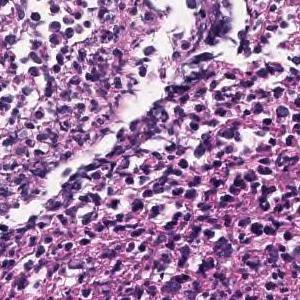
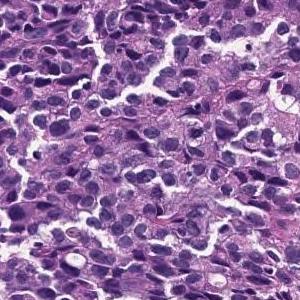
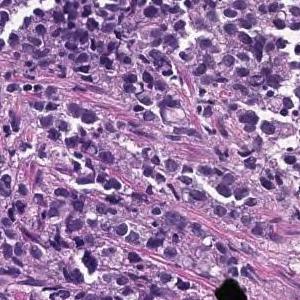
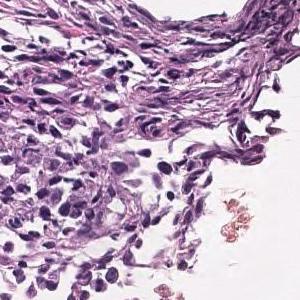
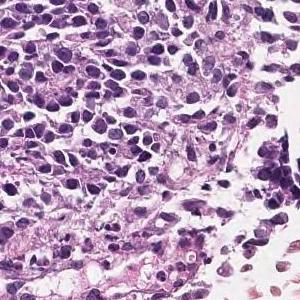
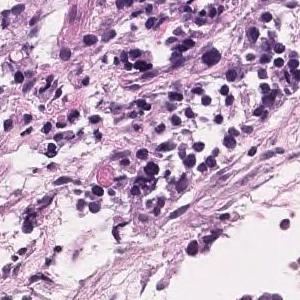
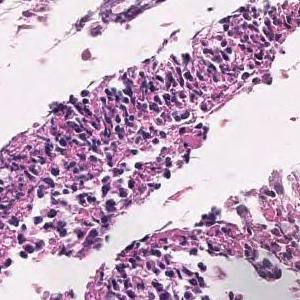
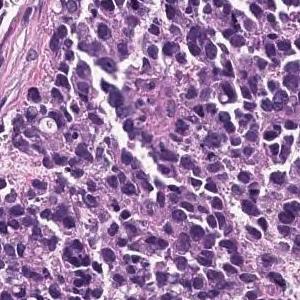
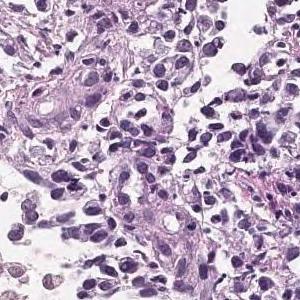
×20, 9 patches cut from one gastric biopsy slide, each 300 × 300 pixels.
Diagnostic report for the slide these tiles come from. The report and the diagnosis describe the slide as a whole, so these tiles may not show every feature named and may include non-tumor tissue.
The superficial epithelium shows a large sheet-like shape, and some tumor tissue infiltrates with small irregular ducts. Poorly differentiated adenocarcinoma, solid-type
Classified as poorly differentiated adenocarcinoma, solid type, a category of the Japanese Classification of Gastric Carcinoma; in the WHO 2019 classification it is tubular adenocarcinoma, poorly differentiated.
